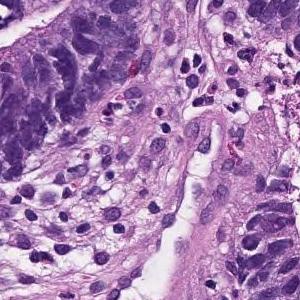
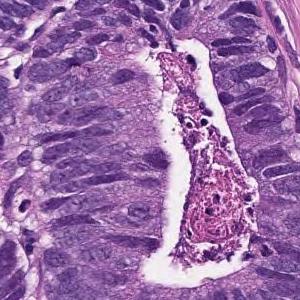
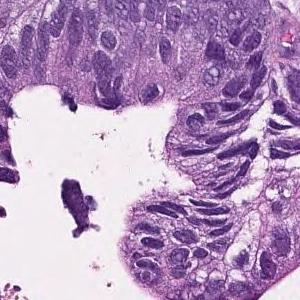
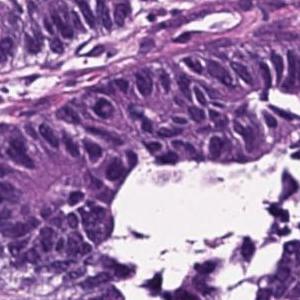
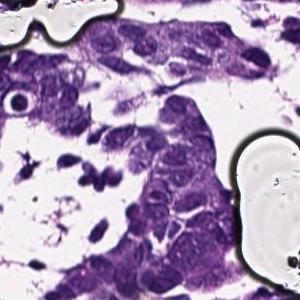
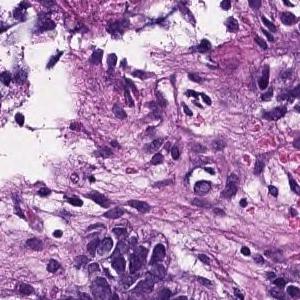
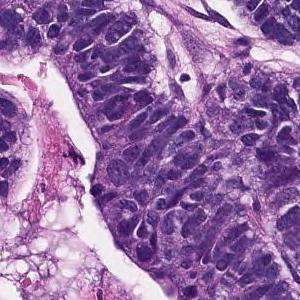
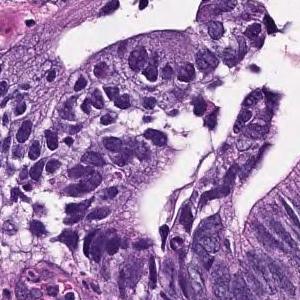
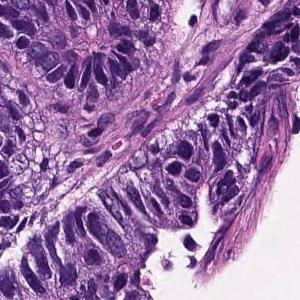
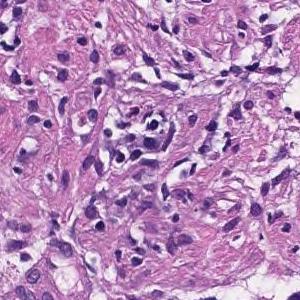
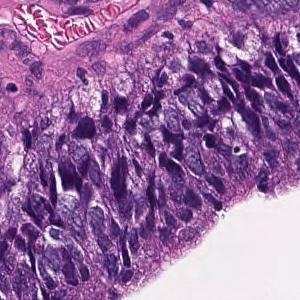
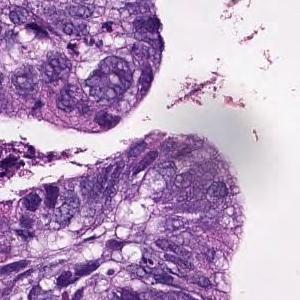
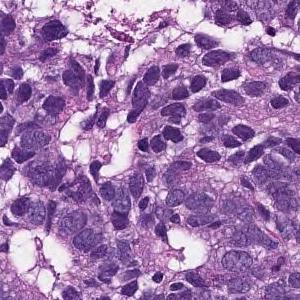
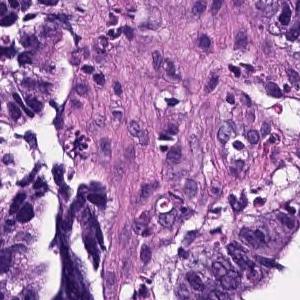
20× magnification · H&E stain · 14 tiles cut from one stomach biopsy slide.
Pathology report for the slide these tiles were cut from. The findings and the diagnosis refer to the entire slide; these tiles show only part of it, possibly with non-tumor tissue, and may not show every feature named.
In the superficial epithelium, tumor tissue that invades by forming medium-sized to small, irregular ducts is observed. moderately differentiated tubular adenocarcinoma.
